11 tiles cut from one stomach biopsy slide; 300×300 px each; H&E stain; scanned at ×20.
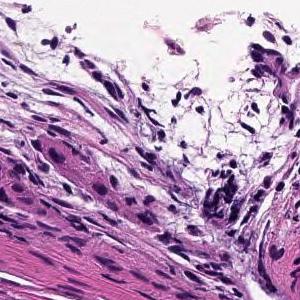
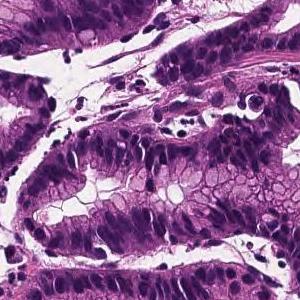
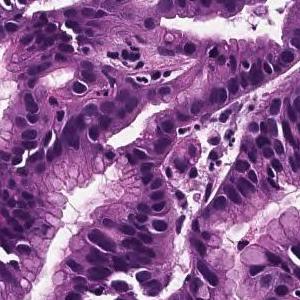
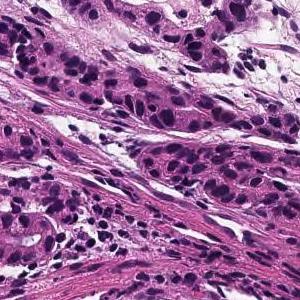
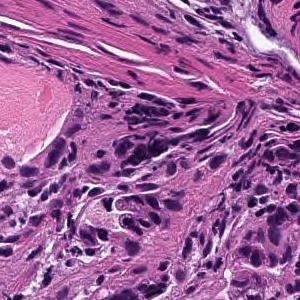
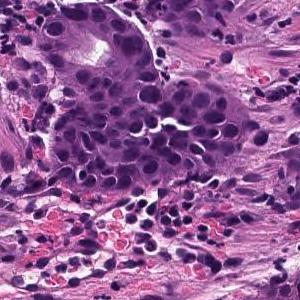
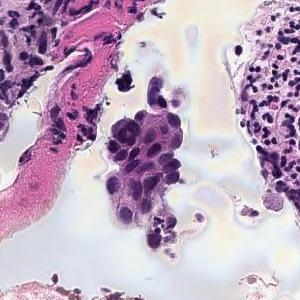
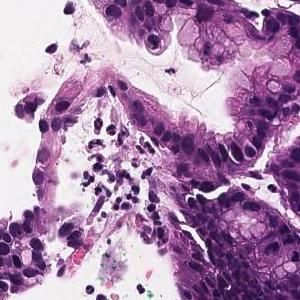
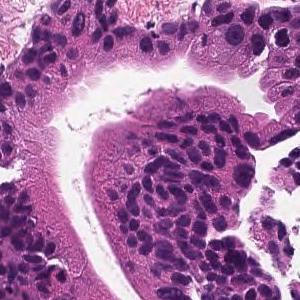
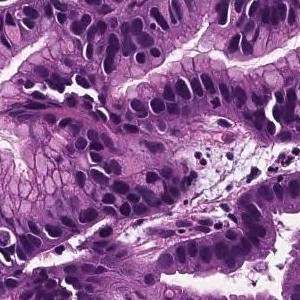
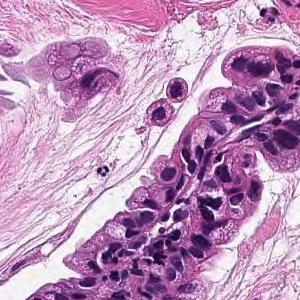
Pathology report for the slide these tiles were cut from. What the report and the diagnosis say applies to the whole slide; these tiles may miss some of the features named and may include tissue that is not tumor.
Tumor cells are large, highly columnar, large club-shaped nuclei, and are associated with chromatin aggregation. Papillary adenocarcinoma.
